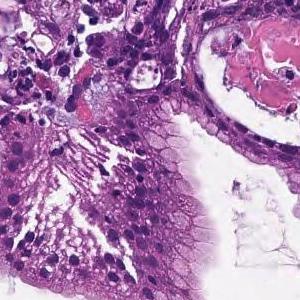
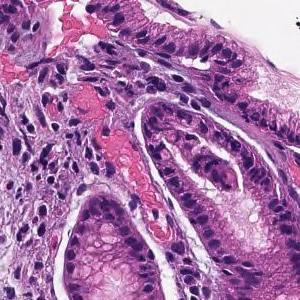
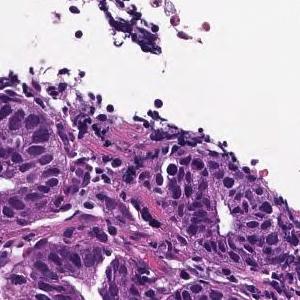
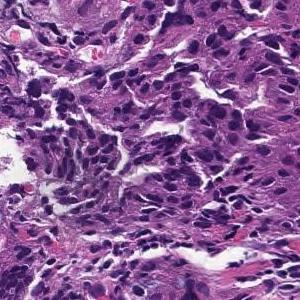
×20; 4 tiles cut from one stomach biopsy slide.
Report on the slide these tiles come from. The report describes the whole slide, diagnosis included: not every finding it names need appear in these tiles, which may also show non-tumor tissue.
On the superficial epithelium, tumor tissue consisting of large irregular glandular ducts partially fused and infiltrated is observed. Well to moderately differentiated tubular adenocarcinoma (well differentiated tubular adenocarcinoma, moderately differentiated tubular adenocarcinoma)
Subtype: Well to moderately differentiated tubular adenocarcinoma.
